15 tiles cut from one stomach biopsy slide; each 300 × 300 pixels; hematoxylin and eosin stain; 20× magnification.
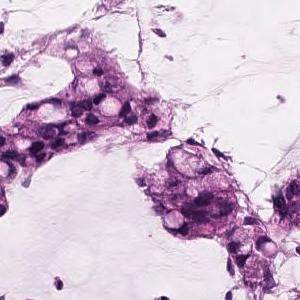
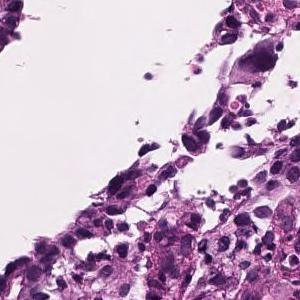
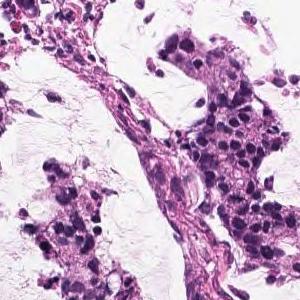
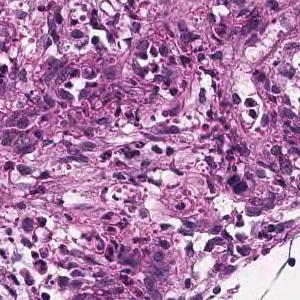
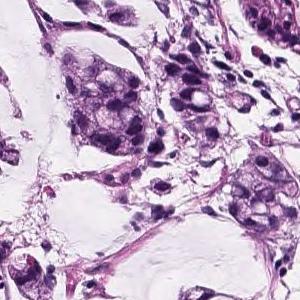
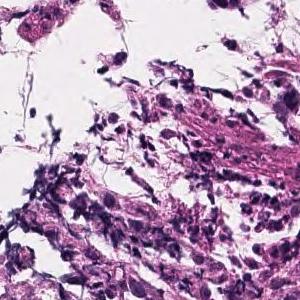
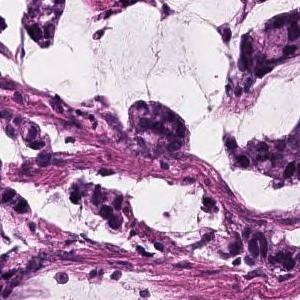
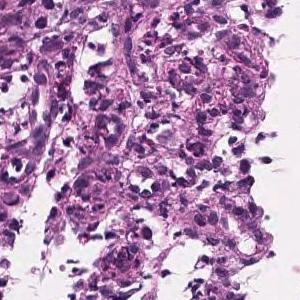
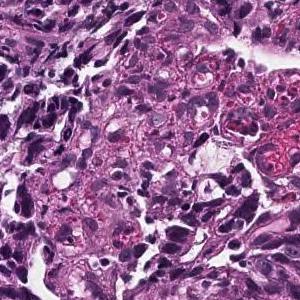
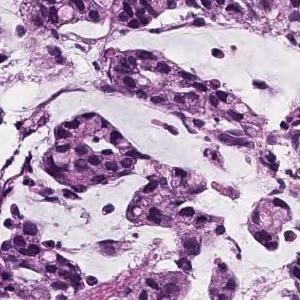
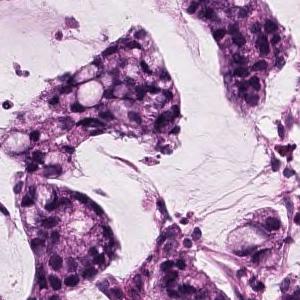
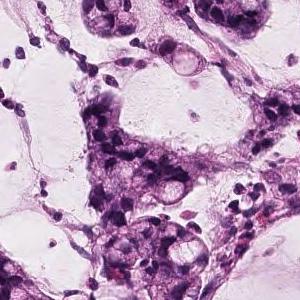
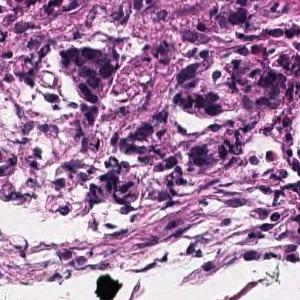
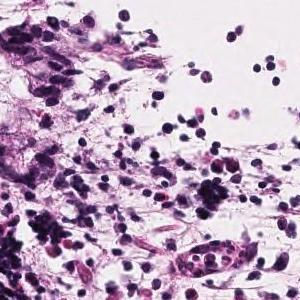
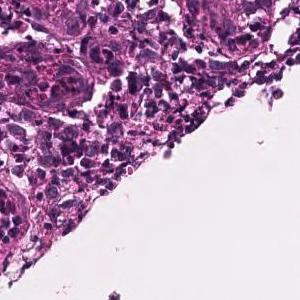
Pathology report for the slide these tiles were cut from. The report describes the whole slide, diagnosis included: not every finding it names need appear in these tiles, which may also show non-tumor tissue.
Atypical epithelial cells form obscure ductal structures or small solid follicles, and tumor tissue that proliferates invasively with proliferation of inflammatory granulation tissue is observed. Mucinous adenocarcinoma .
